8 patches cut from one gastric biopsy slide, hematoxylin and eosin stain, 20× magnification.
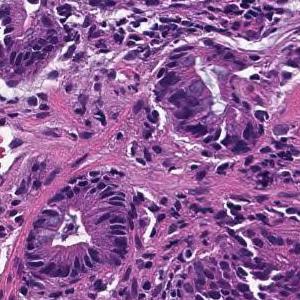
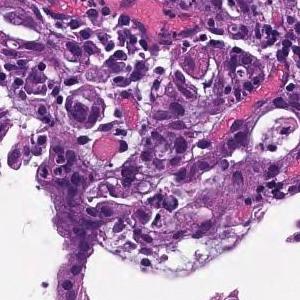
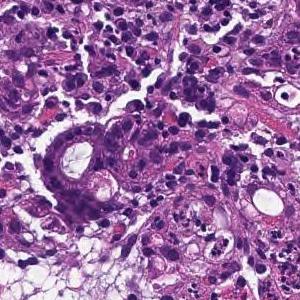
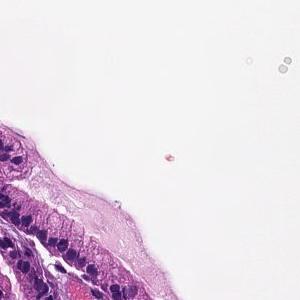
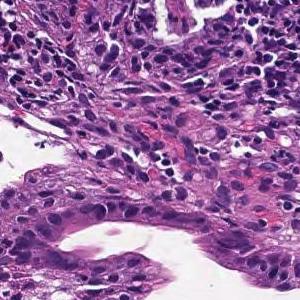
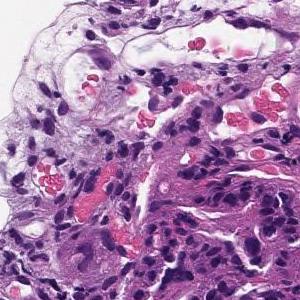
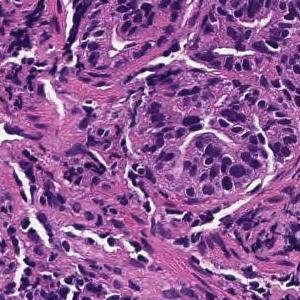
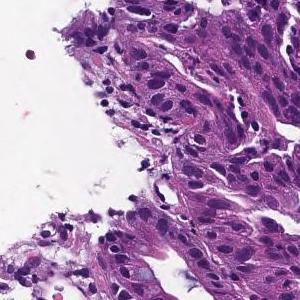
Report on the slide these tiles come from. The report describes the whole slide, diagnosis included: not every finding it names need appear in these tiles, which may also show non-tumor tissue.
On the superficial epithelium, tumor tissue consisting of large irregular glandular ducts partially fused and infiltrated is observed. Well to moderately differentiated tubular adenocarcinoma (well differentiated tubular adenocarcinoma, moderately differentiated tubular adenocarcinoma)
Subtype: Well to moderately differentiated tubular adenocarcinoma.
